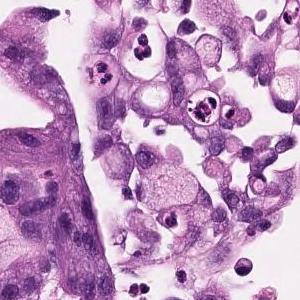
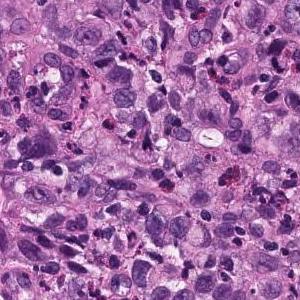
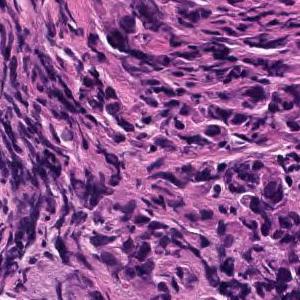
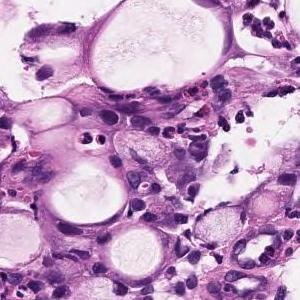
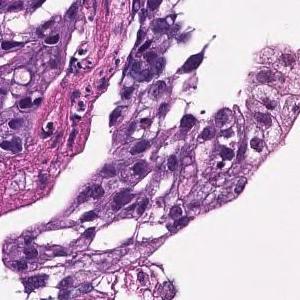
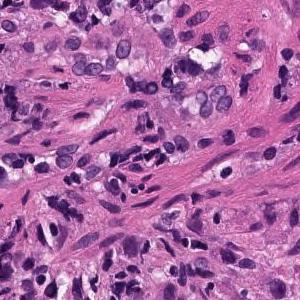
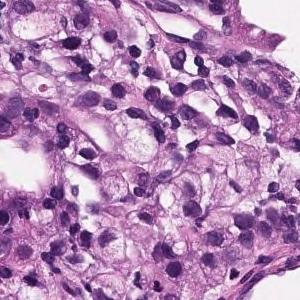
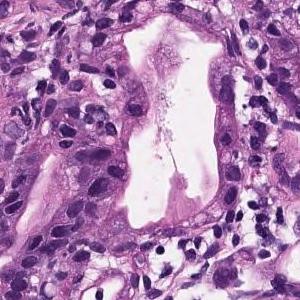
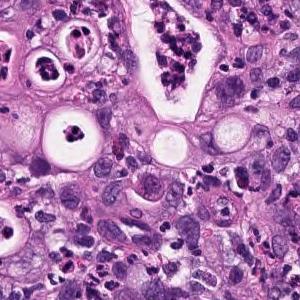
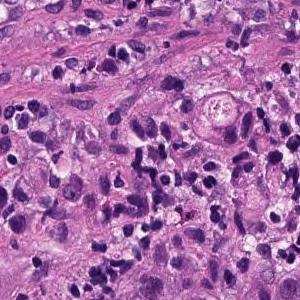
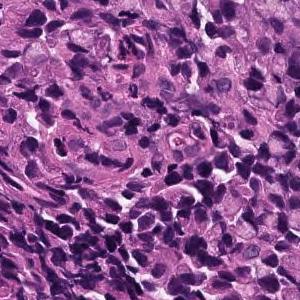
11 tiles cut from one stomach biopsy slide, 300×300 px each, scanned at ×20, hematoxylin and eosin stain.
The pathologist's report on the biopsy slide these tiles were taken from. The report and the diagnosis cover the entire slide, so not every feature they name need be visible here, and some tissue shown may not be tumor.
Atypical epithelium forms irregularly fused gland ducts and proliferates. Poorly differentiated adenocarcinoma.
Classified as poorly differentiated adenocarcinoma, non-solid type.
The term "non-solid type" comes from the Japanese Classification of Gastric Carcinoma.
